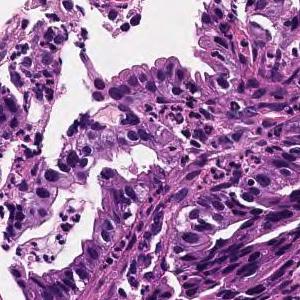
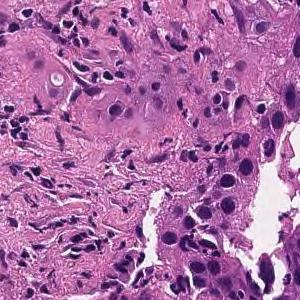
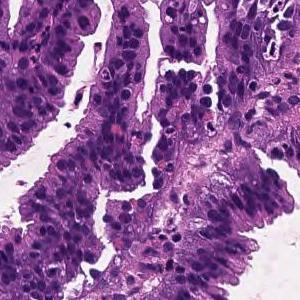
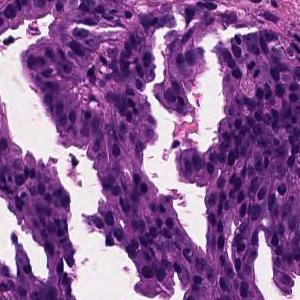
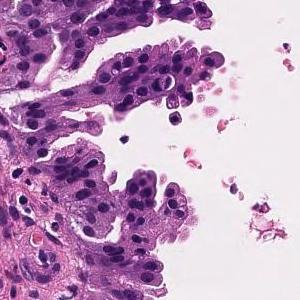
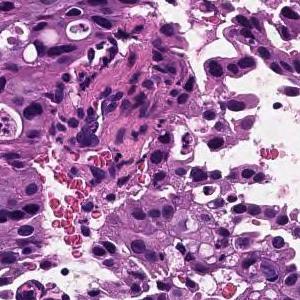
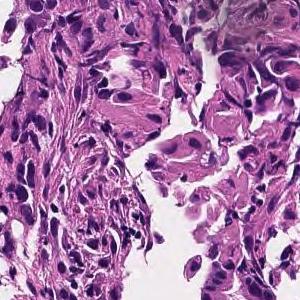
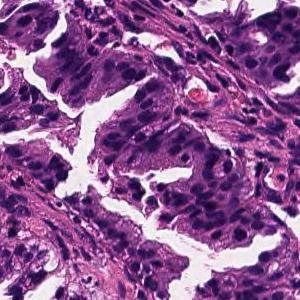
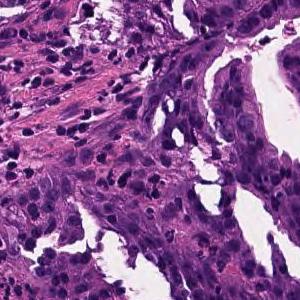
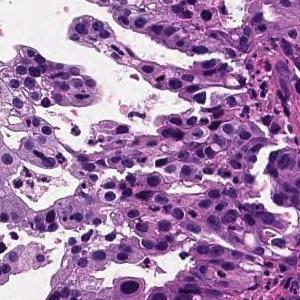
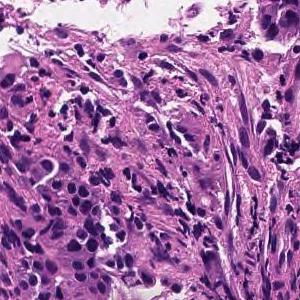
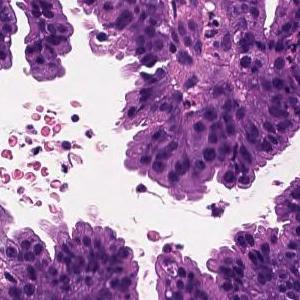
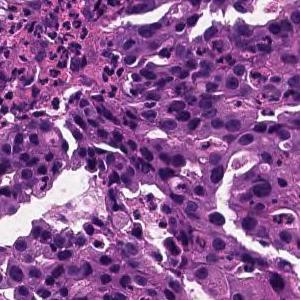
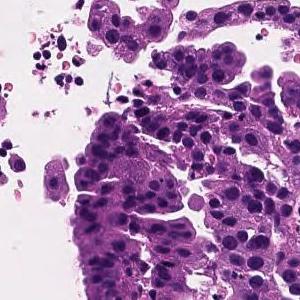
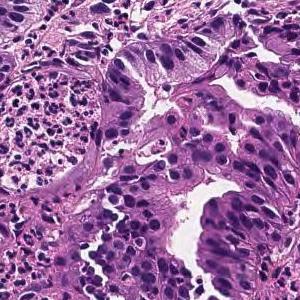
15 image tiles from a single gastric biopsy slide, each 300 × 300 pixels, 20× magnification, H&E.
Diagnostic report for the slide these tiles come from. The report and the diagnosis cover the entire slide, so not every feature they name need be visible here, and some tissue shown may not be tumor.
On the superficial epithelium, tumor tissue consisting of large, irregular glandular ducts partially fused and infiltrated is observed. Well to moderately differentiated tubular adenocarcinoma (well differentiated tubular adenocarcinoma, moderately differentiated tubular adenocarcinoma)
Subtype: Well to moderately differentiated tubular adenocarcinoma.
